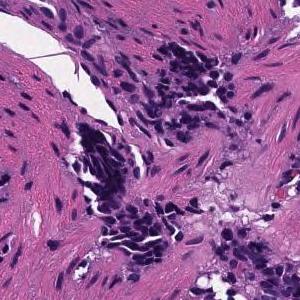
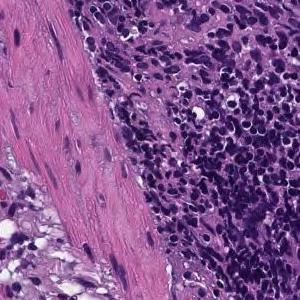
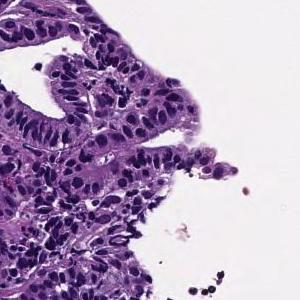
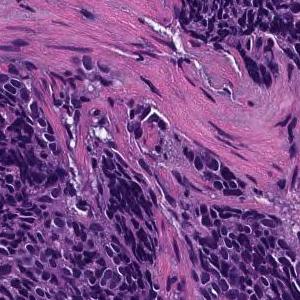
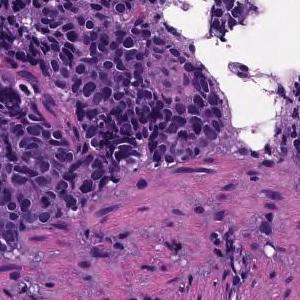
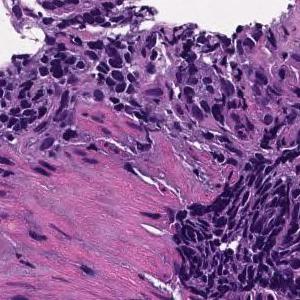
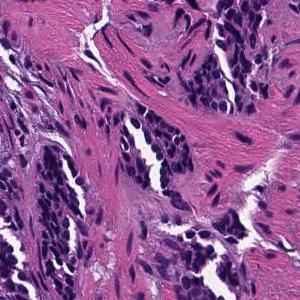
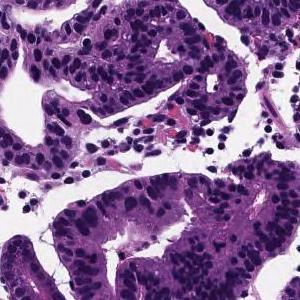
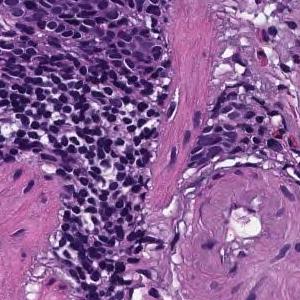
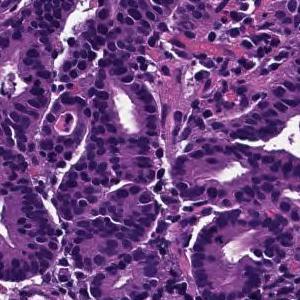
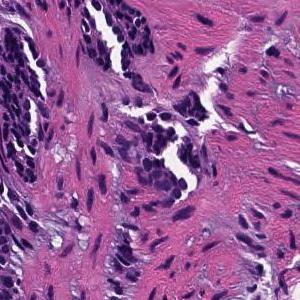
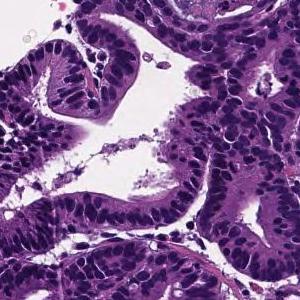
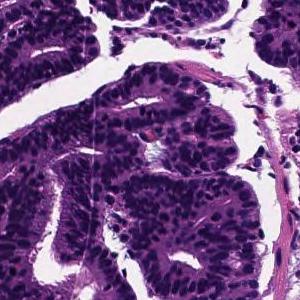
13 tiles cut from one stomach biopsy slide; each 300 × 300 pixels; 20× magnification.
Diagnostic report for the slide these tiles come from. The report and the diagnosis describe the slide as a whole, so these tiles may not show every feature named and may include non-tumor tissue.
Tumor tissue consisting of medium-sized, cord-like or irregular glandular infiltration is observed in the superficial epithelium. Poorly differentiated adenocarcinoma, non-solid type or moderately differentiated tubular adenocarcinoma
Subtype: Moderately to poorly differentiated adenocarcinoma.
The non-solid type named here is a Japanese Classification of Gastric Carcinoma category.
